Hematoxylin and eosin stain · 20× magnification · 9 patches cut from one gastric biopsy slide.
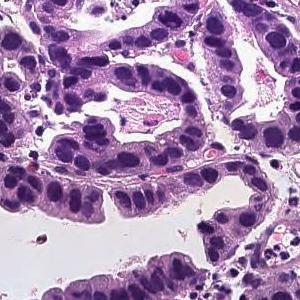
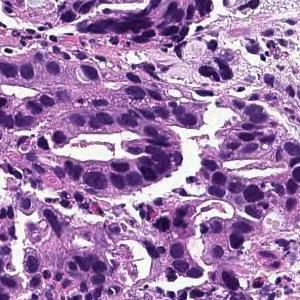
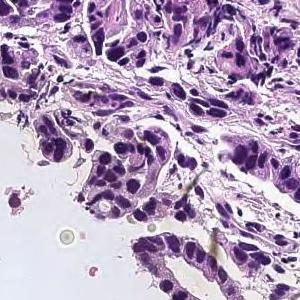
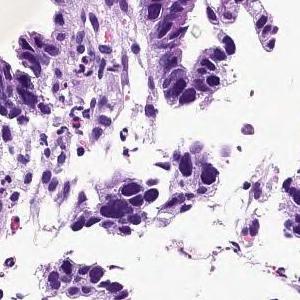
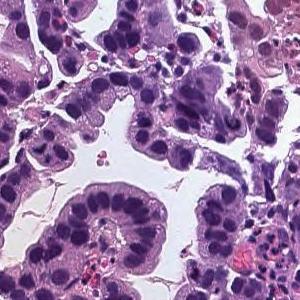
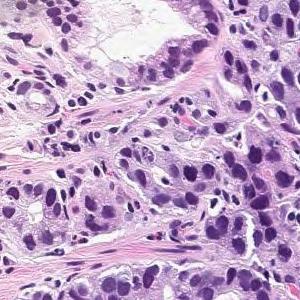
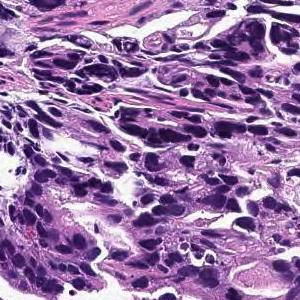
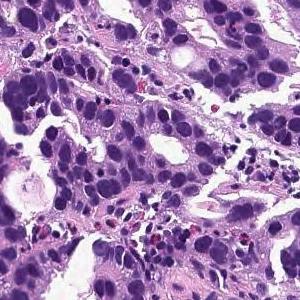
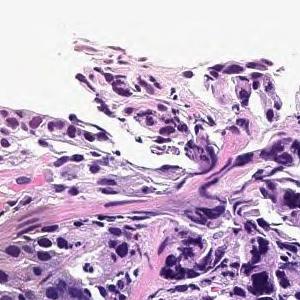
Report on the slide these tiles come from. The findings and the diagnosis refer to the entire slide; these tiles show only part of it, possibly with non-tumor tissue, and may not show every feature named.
On the superficial epithelium, tumor tissue consisting of large irregular glandular ducts partially fused and infiltrated is observed. Well to moderately differentiated tubular adenocarcinoma (well differentiated tubular adenocarcinoma, moderately differentiated tubular adenocarcinoma)
Classified as well to moderately differentiated tubular adenocarcinoma.
